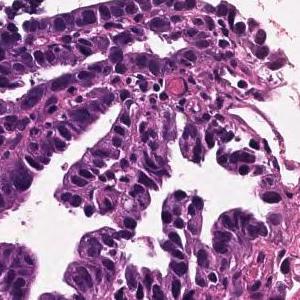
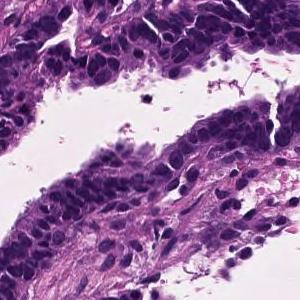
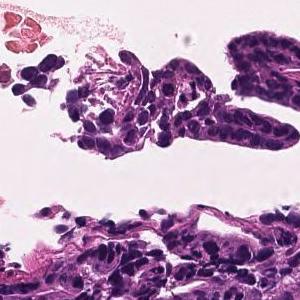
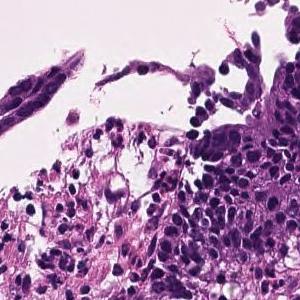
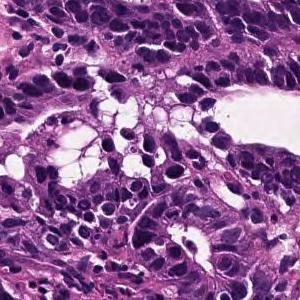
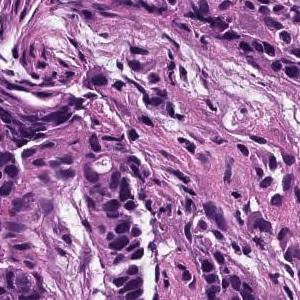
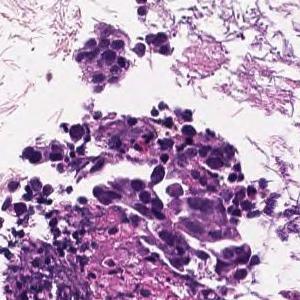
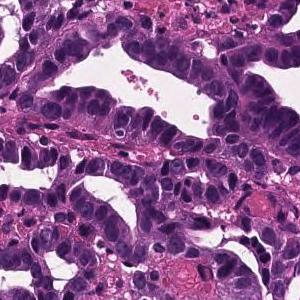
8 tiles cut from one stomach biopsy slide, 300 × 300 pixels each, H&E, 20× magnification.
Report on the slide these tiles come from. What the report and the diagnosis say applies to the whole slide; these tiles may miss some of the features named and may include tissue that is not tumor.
Tumor cells are large, highly columnar, large club-shaped nuclei, and are associated with chromatin aggregation. Papillary adenocarcinoma.
